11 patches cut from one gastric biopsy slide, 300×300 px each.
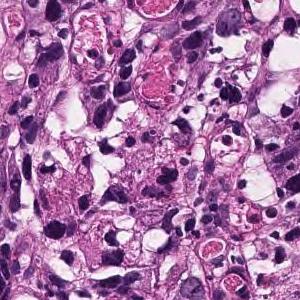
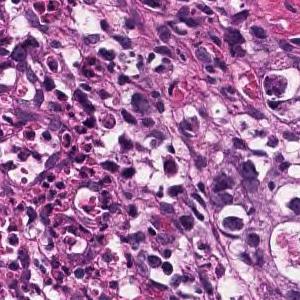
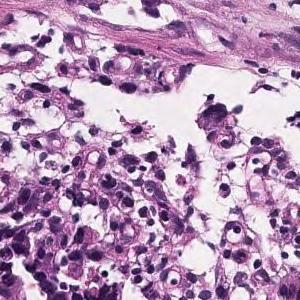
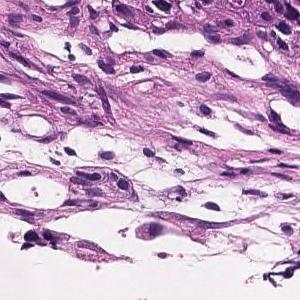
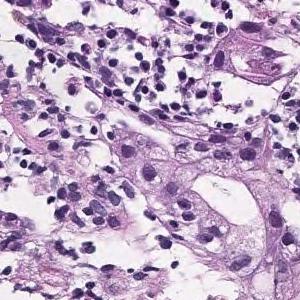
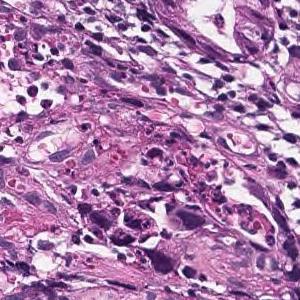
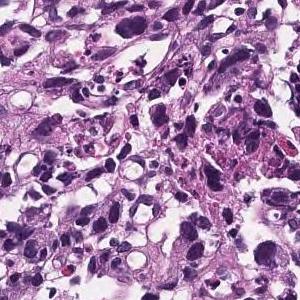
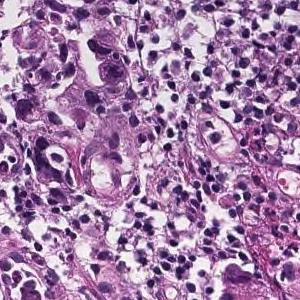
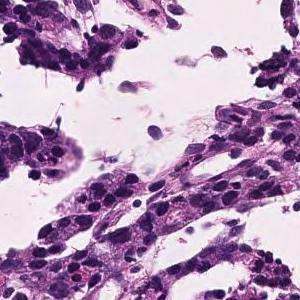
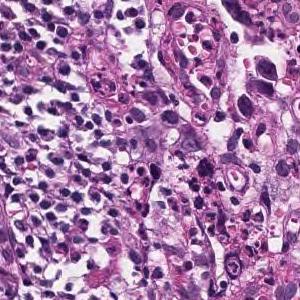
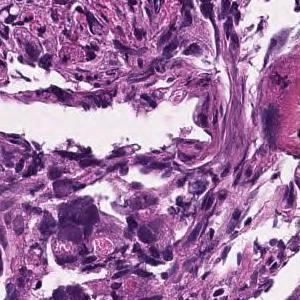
Pathology report for the slide these tiles were cut from. The report and the diagnosis describe the slide as a whole, so these tiles may not show every feature named and may include non-tumor tissue.
Tumor tissue consisting of medium-sized, cord-like or irregular glandular infiltration is observed in the superficial epithelium. Poorly differentiated adenocarcinoma, non-solid type or moderately differentiated tubular adenocarcinoma
The term "non-solid type" comes from the Japanese Classification of Gastric Carcinoma.
